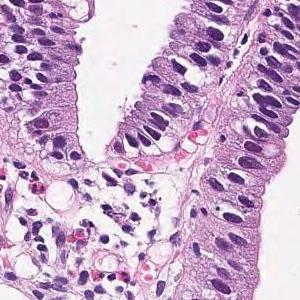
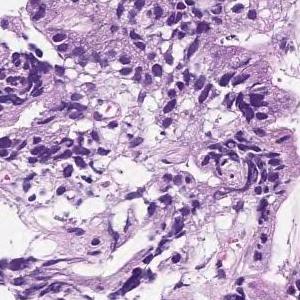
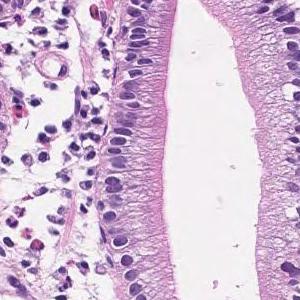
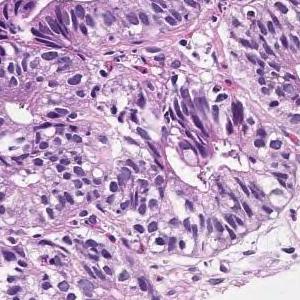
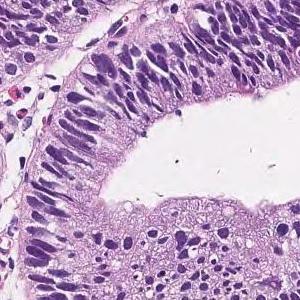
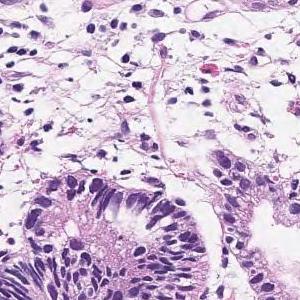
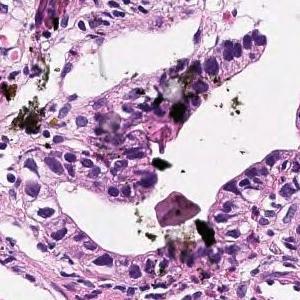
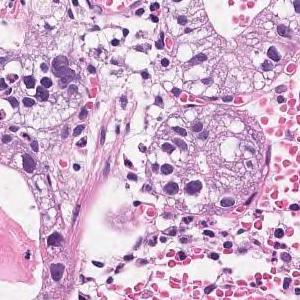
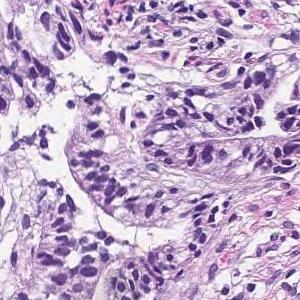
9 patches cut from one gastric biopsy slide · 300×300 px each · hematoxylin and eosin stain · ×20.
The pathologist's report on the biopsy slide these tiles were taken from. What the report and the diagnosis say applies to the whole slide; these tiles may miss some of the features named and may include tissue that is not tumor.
In the superficial epithelium, tumor tissue that invades by forming medium-sized to small, irregular ducts is observed. Moderately differentiated adenocarcinoma.
Classified as moderately differentiated tubular adenocarcinoma.
